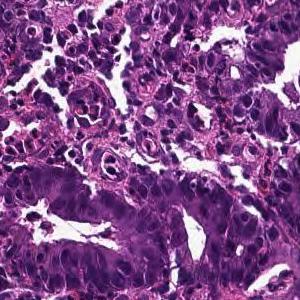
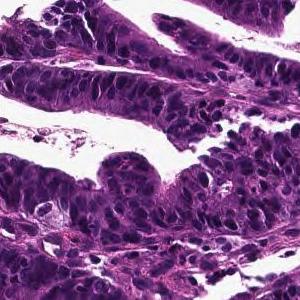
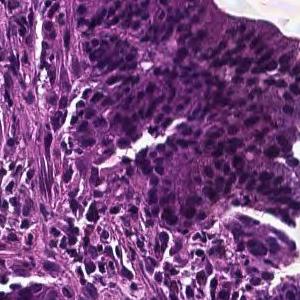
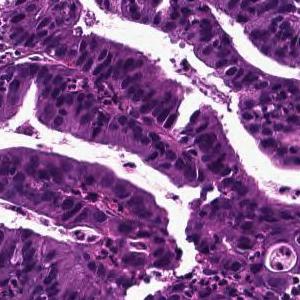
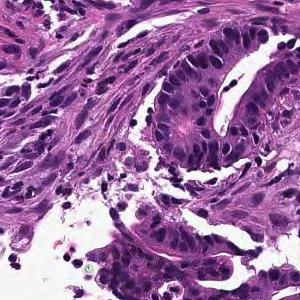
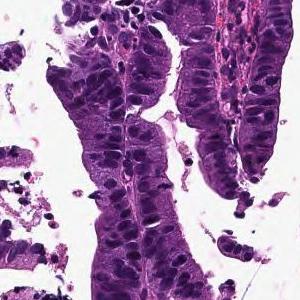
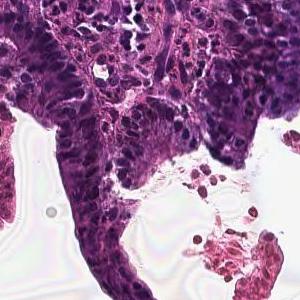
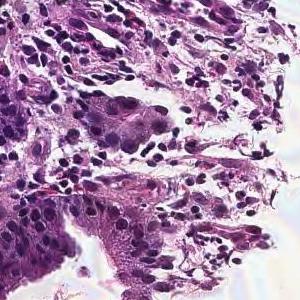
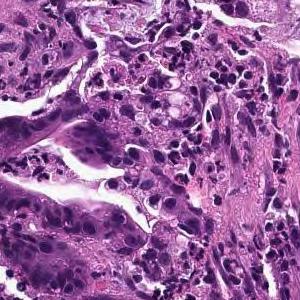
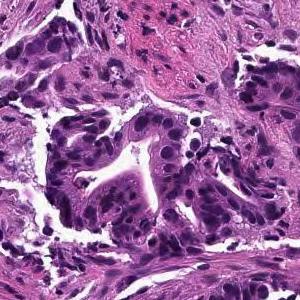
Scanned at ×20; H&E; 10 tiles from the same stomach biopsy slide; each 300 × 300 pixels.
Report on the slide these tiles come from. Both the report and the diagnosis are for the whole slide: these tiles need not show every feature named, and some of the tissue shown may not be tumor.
Tumor cells are large, highly columnar, large club-shaped nuclei, and are associated with chromatin aggregation. Papillary adenocarcinoma.
